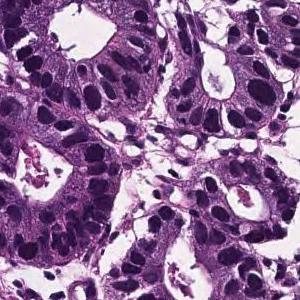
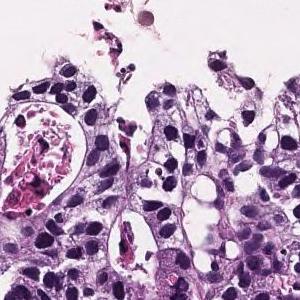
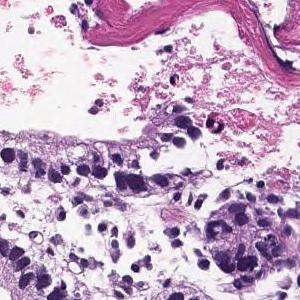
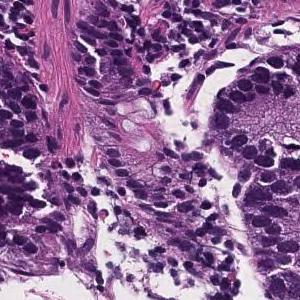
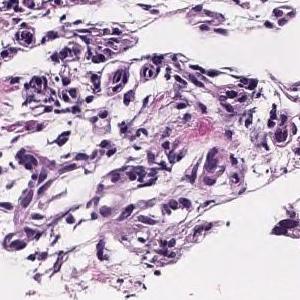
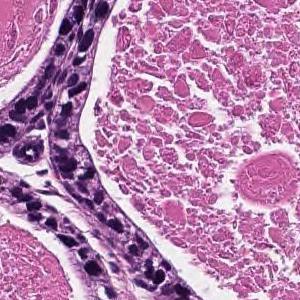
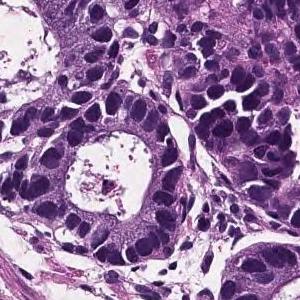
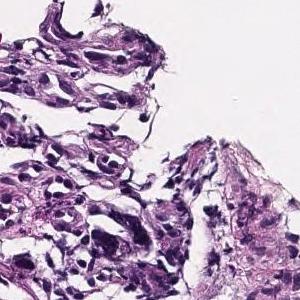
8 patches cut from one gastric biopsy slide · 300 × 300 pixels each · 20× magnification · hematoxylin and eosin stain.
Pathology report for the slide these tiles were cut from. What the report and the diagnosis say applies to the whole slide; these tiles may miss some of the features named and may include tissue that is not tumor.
In the superficial epithelium, tumor tissue that invades by forming medium-sized to small, irregular ducts is observed. Well differentiated tubular adenocarcinoma.
